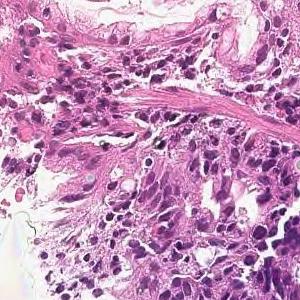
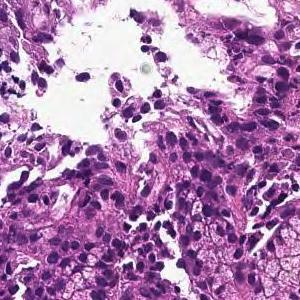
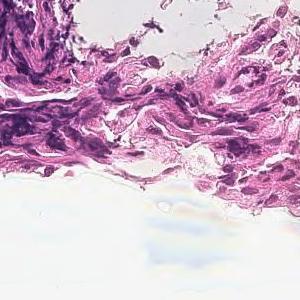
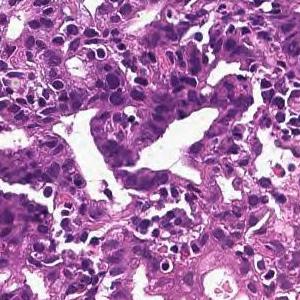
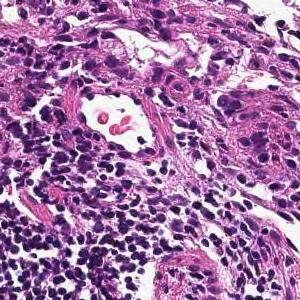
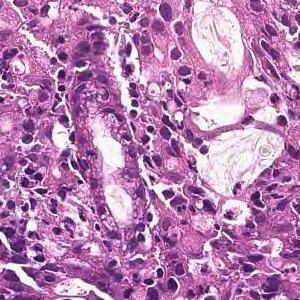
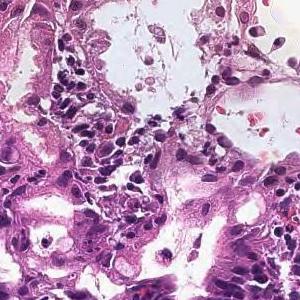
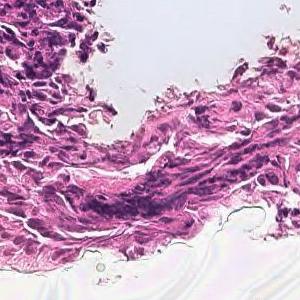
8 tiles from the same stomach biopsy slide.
Pathology report for the slide these tiles were cut from. Both the report and the diagnosis are for the whole slide: these tiles need not show every feature named, and some of the tissue shown may not be tumor.
In the superficial epithelium, tumor tissue that invades by forming medium-sized to small, irregular ducts is observed. moderately differentiated tubular adenocarcinoma.
